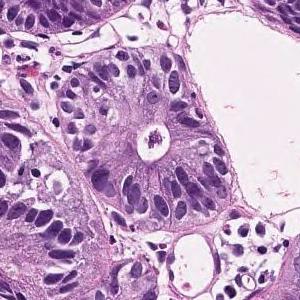
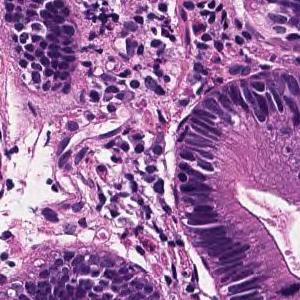
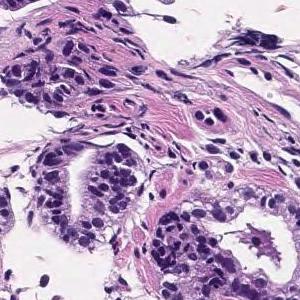
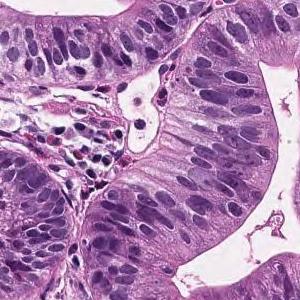
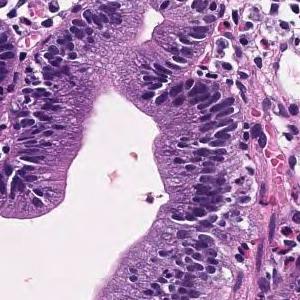
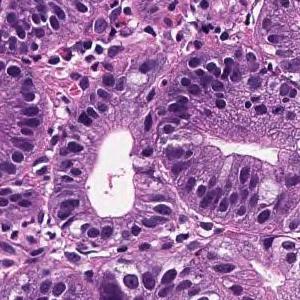
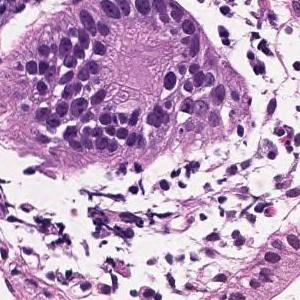
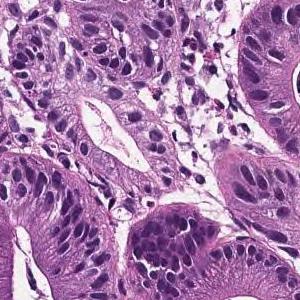
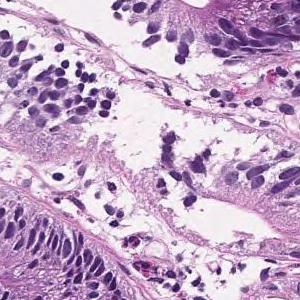
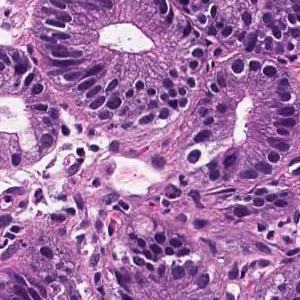
H&E stain; 20× magnification; 10 tiles cut from one stomach biopsy slide; 300 × 300 pixels each.
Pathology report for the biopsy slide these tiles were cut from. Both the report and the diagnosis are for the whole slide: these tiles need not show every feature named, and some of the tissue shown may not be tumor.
In the superficial epithelium, tumor tissue that invades by forming medium-sized to small, irregular ducts is observed. Well differentiated tubular adenocarcinoma.
